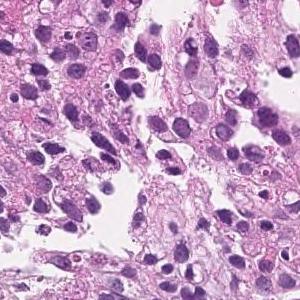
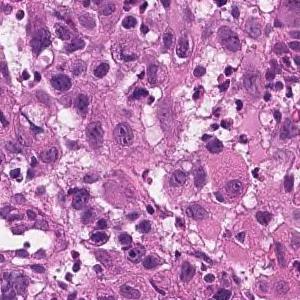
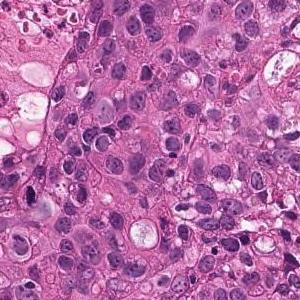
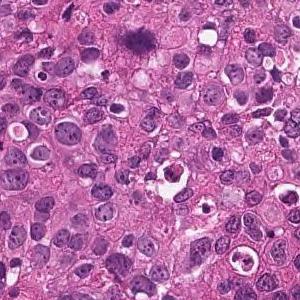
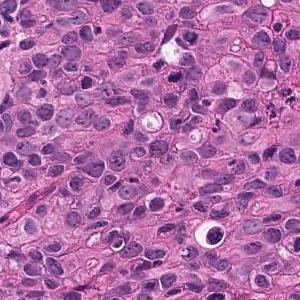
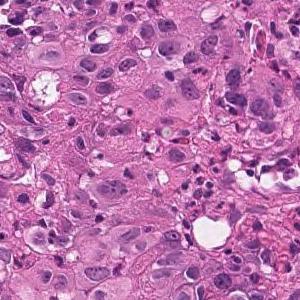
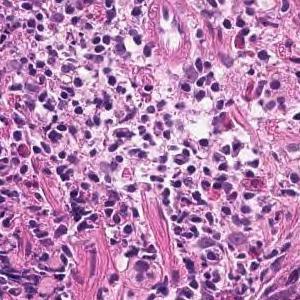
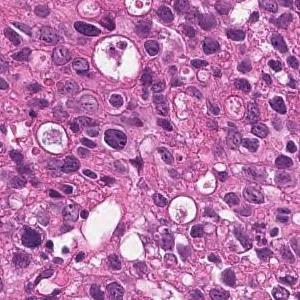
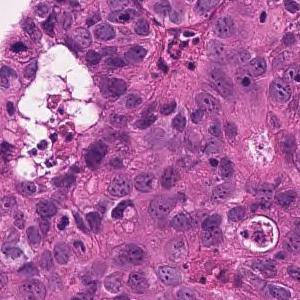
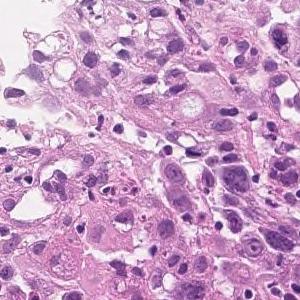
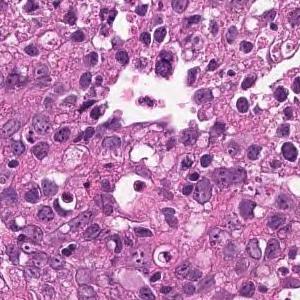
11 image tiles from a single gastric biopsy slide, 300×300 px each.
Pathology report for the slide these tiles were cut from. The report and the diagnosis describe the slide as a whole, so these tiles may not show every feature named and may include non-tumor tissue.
The superficial epithelium shows a large sheet-like shape, and some tumor tissue infiltrates with small irregular ducts. Poorly differentiated adenocarcinoma, solid-type
Histological subtype: Poorly differentiated adenocarcinoma, solid type, a category of the Japanese Classification of Gastric Carcinoma; in the WHO 2019 classification it is tubular adenocarcinoma, poorly differentiated.
